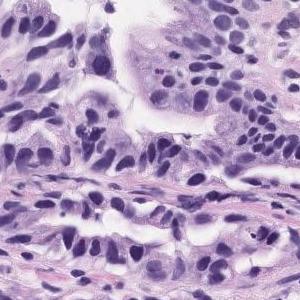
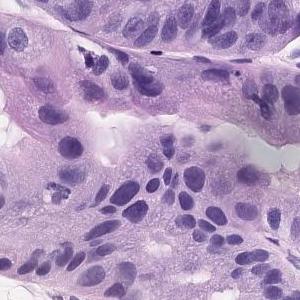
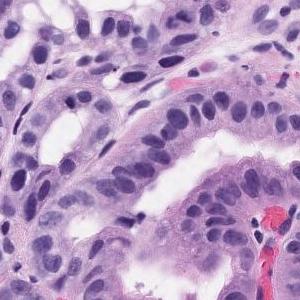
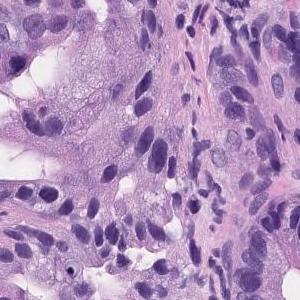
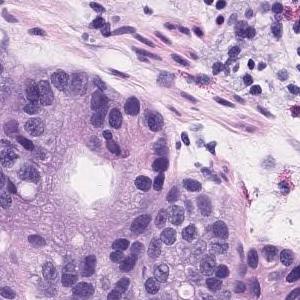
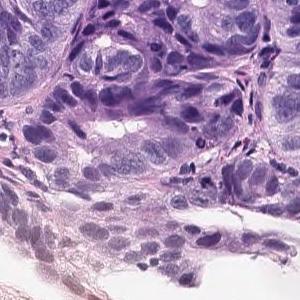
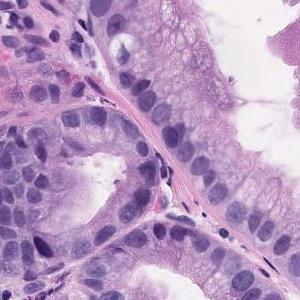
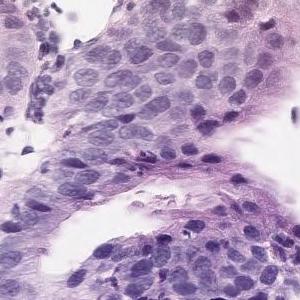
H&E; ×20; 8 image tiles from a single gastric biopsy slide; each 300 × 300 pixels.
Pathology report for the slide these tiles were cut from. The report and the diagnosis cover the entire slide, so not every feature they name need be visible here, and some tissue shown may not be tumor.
Tumor tissue consisting of medium-sized and irregular ducts is observed infiltrating in the superficial epithelium. Tumor cells are highly columnar, with nuclei aligned basolaterally and polarized. Well differentiated tubular adenocarcinoma.
